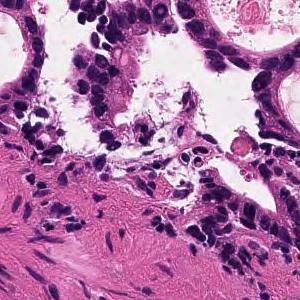
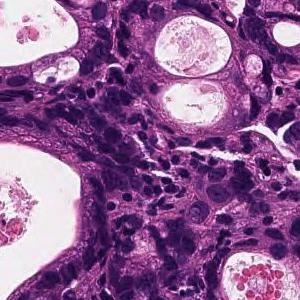
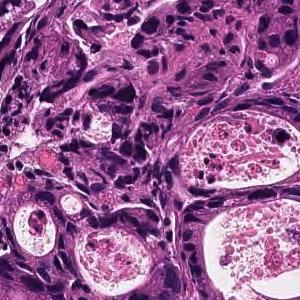
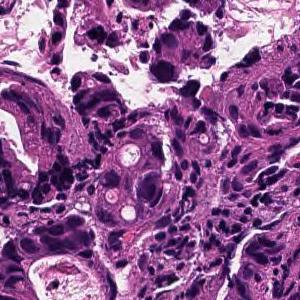
4 patches cut from one gastric biopsy slide; each 300 × 300 pixels; ×20; hematoxylin and eosin stain.
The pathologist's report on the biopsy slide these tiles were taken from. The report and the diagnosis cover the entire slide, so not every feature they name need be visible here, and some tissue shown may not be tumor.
In the superficial epithelium, tumor tissue that invades by forming medium-sized to small, irregular ducts is observed. moderately differentiated tubular adenocarcinoma.
